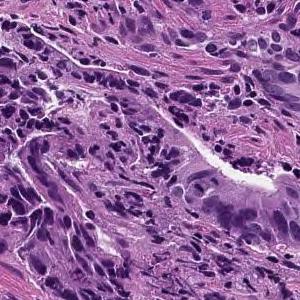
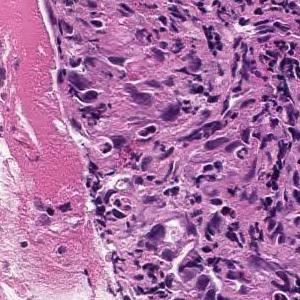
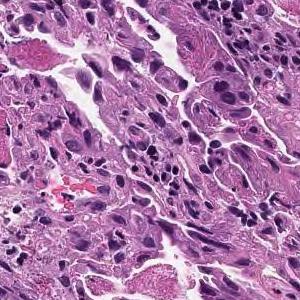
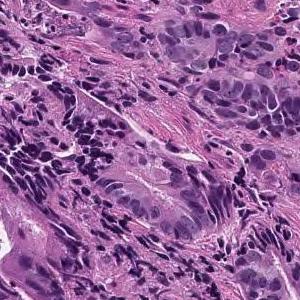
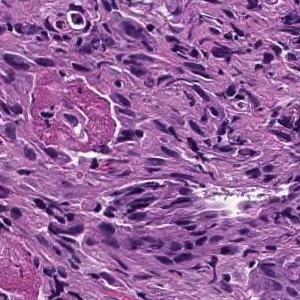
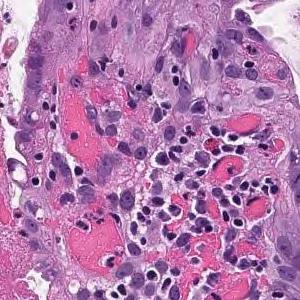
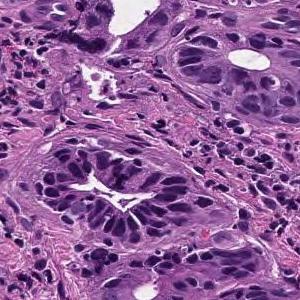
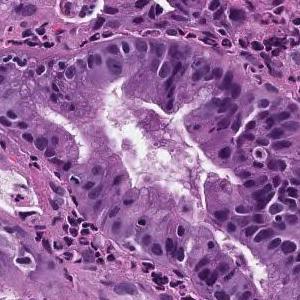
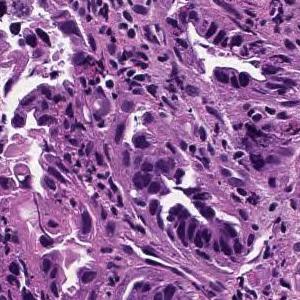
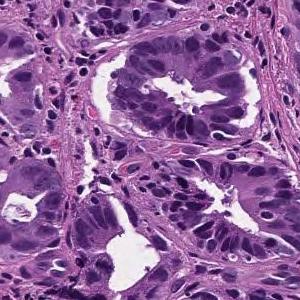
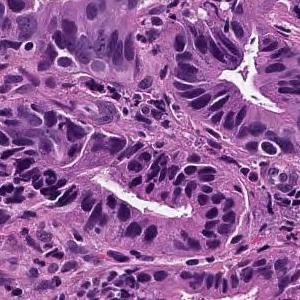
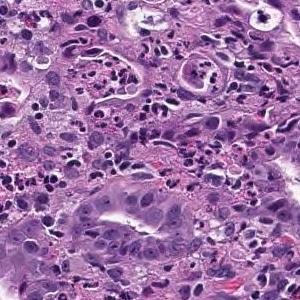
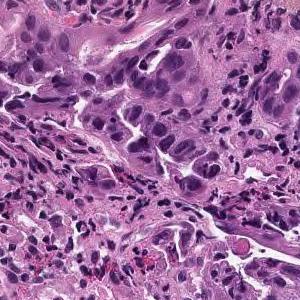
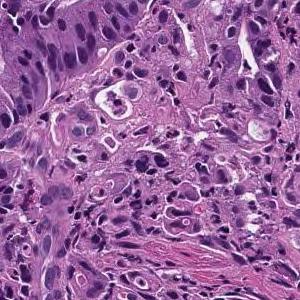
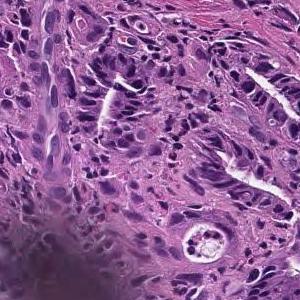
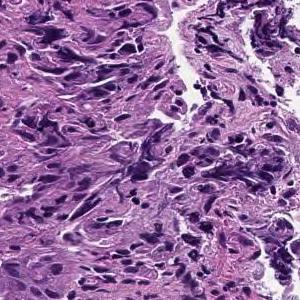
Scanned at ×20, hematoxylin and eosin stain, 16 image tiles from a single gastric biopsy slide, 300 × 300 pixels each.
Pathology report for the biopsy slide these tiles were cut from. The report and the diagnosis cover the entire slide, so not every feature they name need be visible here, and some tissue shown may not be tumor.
On the superficial epithelium, tumor tissue consisting of large, irregular glandular ducts partially fused and infiltrated is observed. Well to moderately differentiated tubular adenocarcinoma (well differentiated tubular adenocarcinoma, moderately differentiated tubular adenocarcinoma)
Tumor subtype: well to moderately differentiated tubular adenocarcinoma.
